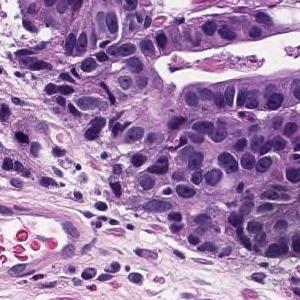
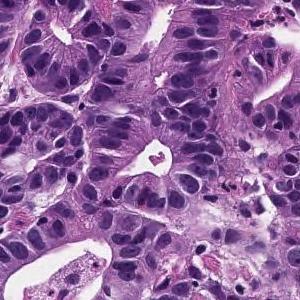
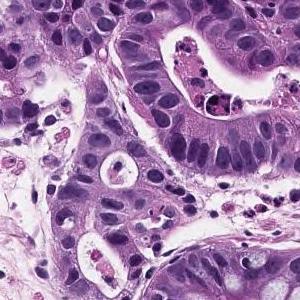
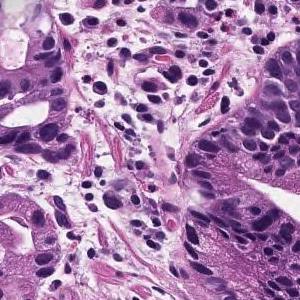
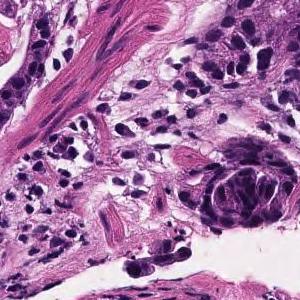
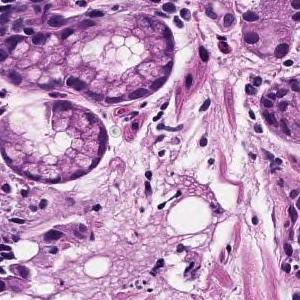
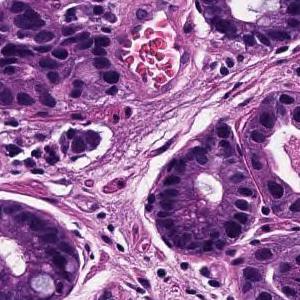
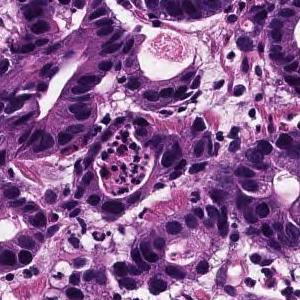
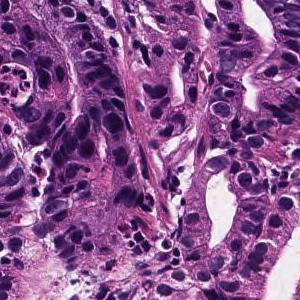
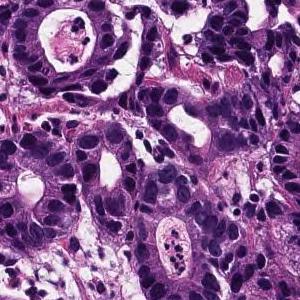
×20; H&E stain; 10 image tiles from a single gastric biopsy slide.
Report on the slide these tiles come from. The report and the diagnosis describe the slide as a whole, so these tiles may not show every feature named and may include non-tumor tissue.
In the superficial epithelium, tumor tissue that invades by forming medium-sized to small, irregular ducts is observed. Well differentiated tubular adenocarcinoma.
